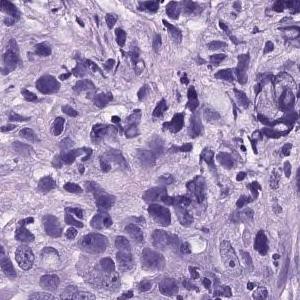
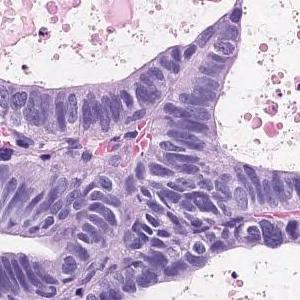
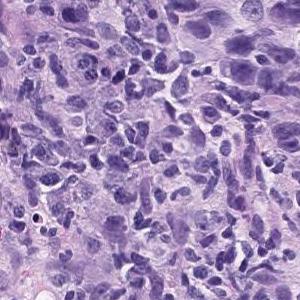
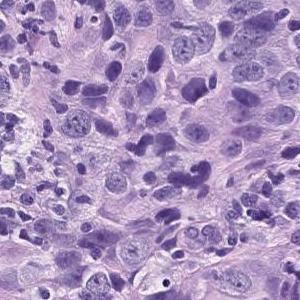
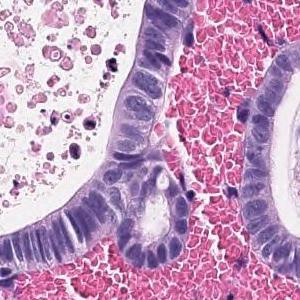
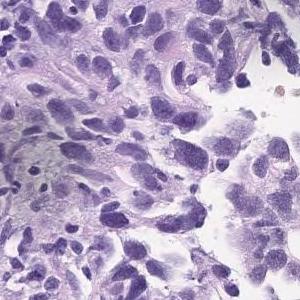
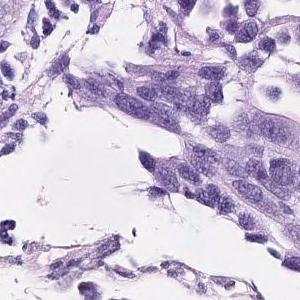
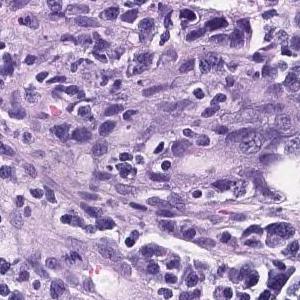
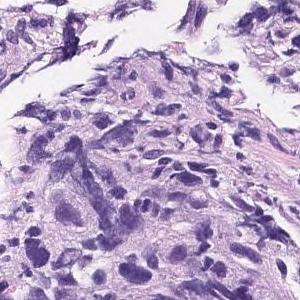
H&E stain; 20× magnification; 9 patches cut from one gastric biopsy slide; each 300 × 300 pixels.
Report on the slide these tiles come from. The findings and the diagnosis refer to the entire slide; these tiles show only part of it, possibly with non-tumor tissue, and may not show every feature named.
The superficial epithelium shows a large sheet-like shape, and some tumor tissue infiltrates with small irregular ducts. Poorly differentiated adenocarcinoma, solid-type
Classified as poorly differentiated adenocarcinoma, solid type (Japanese Classification of Gastric Carcinoma). The WHO 2019 equivalent is tubular adenocarcinoma, poorly differentiated.
